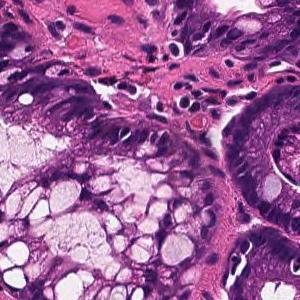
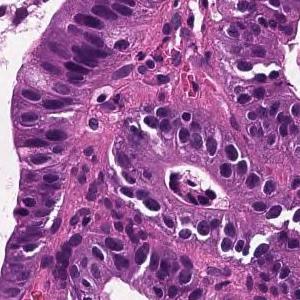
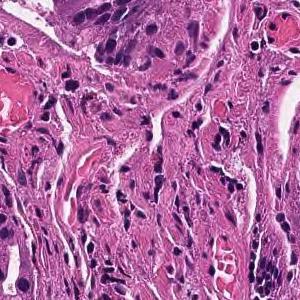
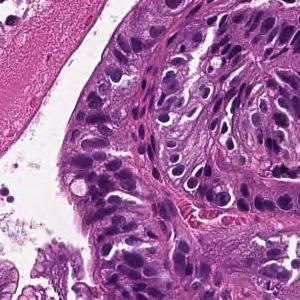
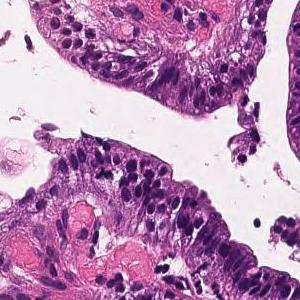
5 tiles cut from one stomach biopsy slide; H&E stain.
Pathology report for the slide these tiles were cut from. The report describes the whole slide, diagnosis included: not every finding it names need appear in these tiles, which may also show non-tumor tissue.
On the superficial epithelium, tumor tissue that infiltrates by forming medium-sized papillary or small irregular ducts is observed. Papillary adenocarcinoma
